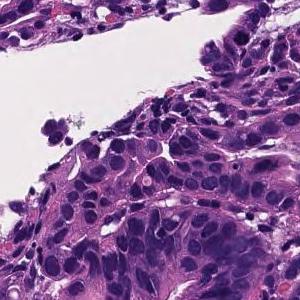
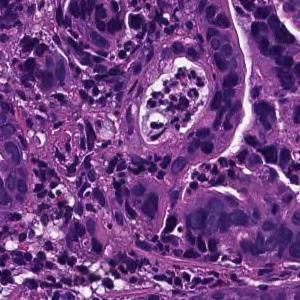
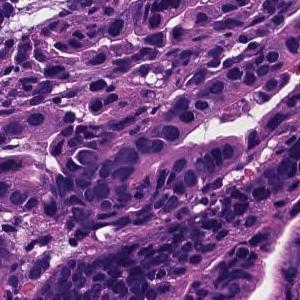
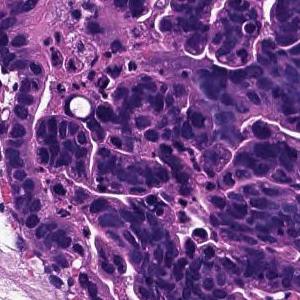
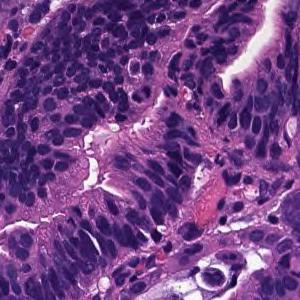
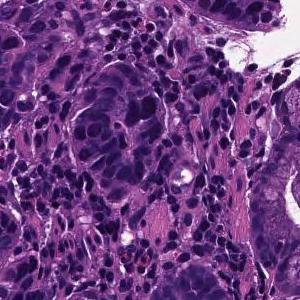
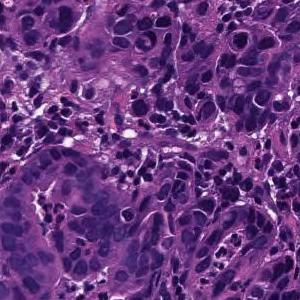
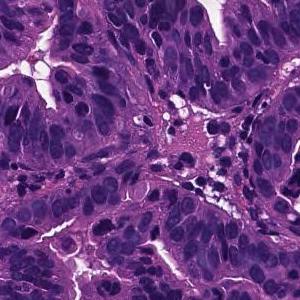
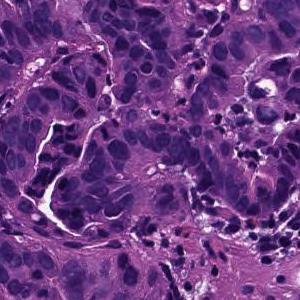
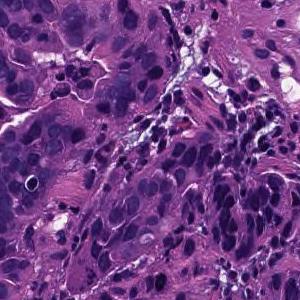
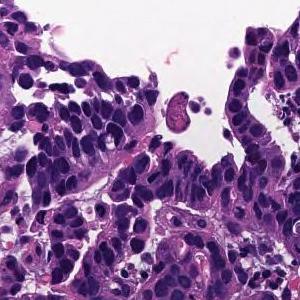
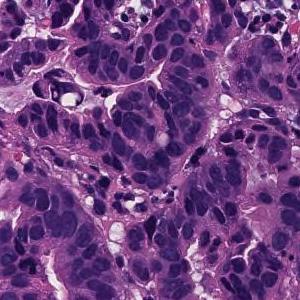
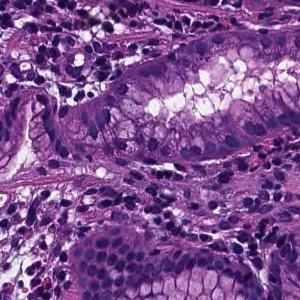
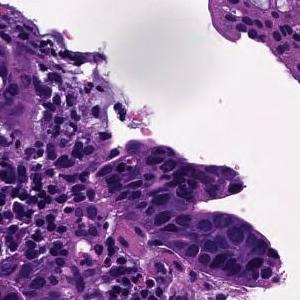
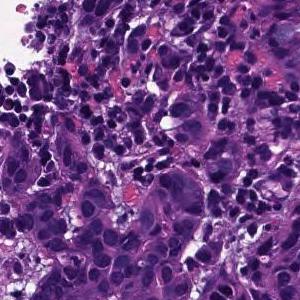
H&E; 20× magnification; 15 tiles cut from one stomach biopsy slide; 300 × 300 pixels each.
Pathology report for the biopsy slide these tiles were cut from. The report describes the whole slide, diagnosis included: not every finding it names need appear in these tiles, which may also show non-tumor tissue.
Tumor tissue consisting of medium-sized, cord-like or irregular glandular infiltration is observed in the superficial epithelium. Poorly differentiated adenocarcinoma, non-solid type or moderately differentiated tubular adenocarcinoma
Histological subtype: Moderately to poorly differentiated adenocarcinoma.
The non-solid type named here is a Japanese Classification of Gastric Carcinoma category.
